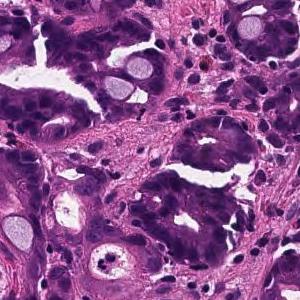
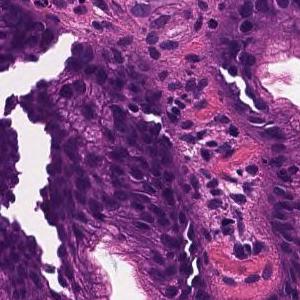
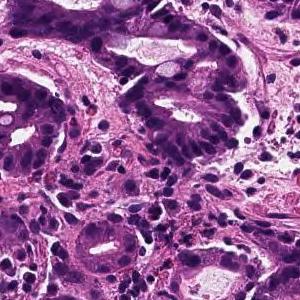
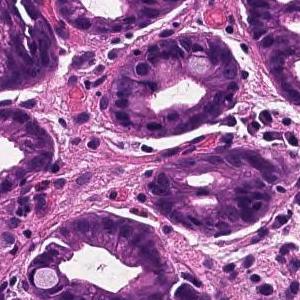
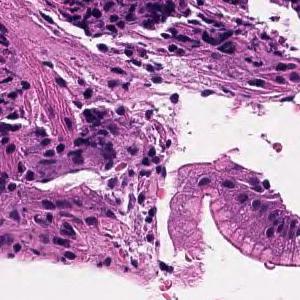
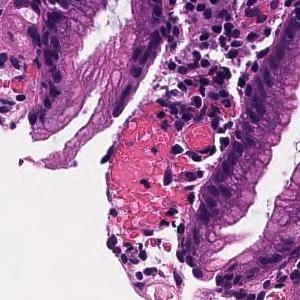
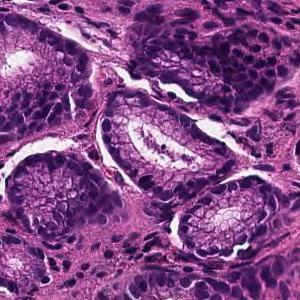
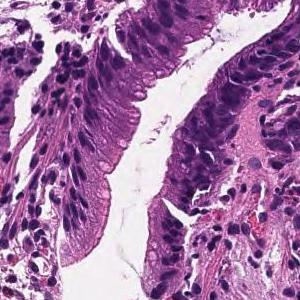
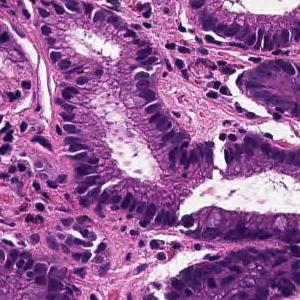
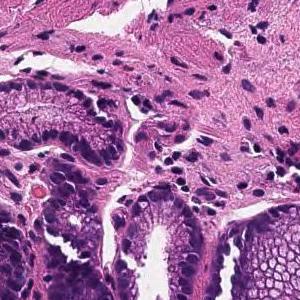
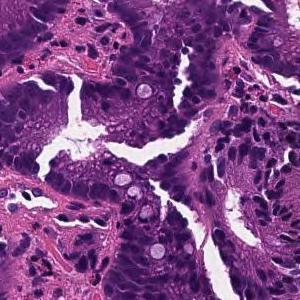
H&E, 20× magnification, 11 patches cut from one gastric biopsy slide, 300 × 300 pixels each.
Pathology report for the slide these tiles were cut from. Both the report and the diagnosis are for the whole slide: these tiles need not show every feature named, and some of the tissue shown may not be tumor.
From the superficial epithelium to the muscularis mucosae, tumor tissue consisting of medium-sized and irregular glandular ducts infiltrating is observed. Well differentiated tubular adenocarcinoma
